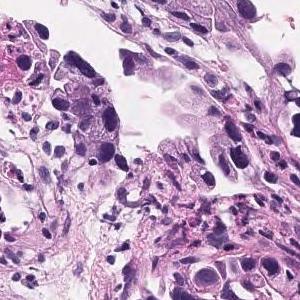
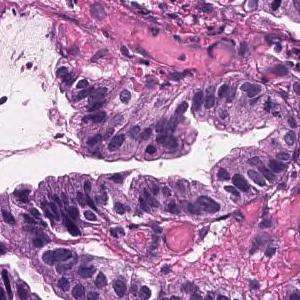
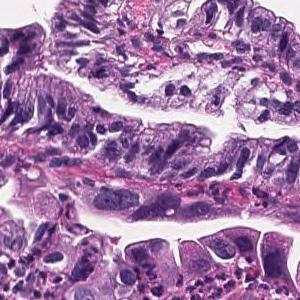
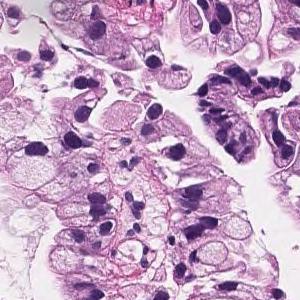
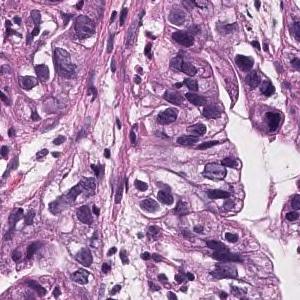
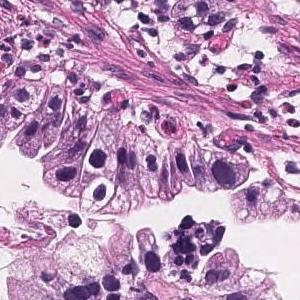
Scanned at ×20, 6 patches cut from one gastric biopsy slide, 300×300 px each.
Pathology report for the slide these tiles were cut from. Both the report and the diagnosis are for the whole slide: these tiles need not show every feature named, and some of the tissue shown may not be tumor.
Tumor cells are large, highly columnar, large club-shaped nuclei, and are associated with chromatin aggregation. Papillary adenocarcinoma.
